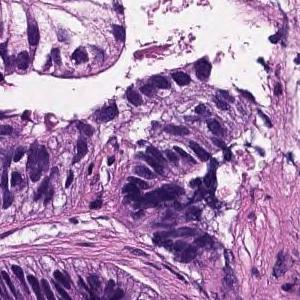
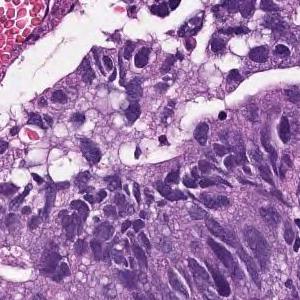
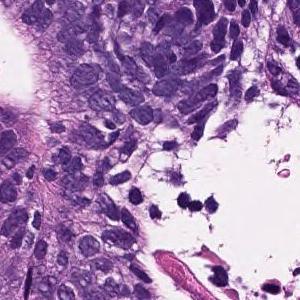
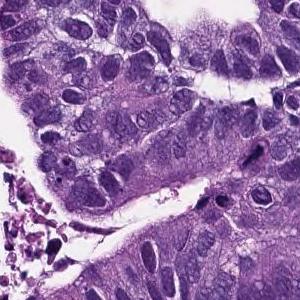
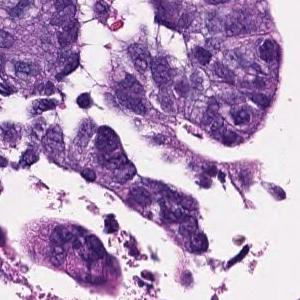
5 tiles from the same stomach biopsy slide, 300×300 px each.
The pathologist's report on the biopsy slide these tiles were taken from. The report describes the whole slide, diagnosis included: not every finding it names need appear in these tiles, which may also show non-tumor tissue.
In the superficial epithelium, tumor tissue that invades by forming medium-sized to small, irregular ducts is observed. moderately differentiated tubular adenocarcinoma.
